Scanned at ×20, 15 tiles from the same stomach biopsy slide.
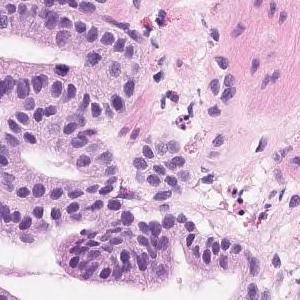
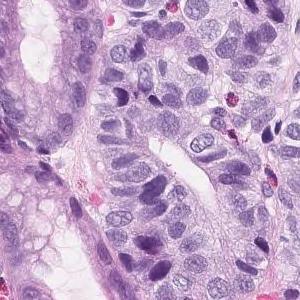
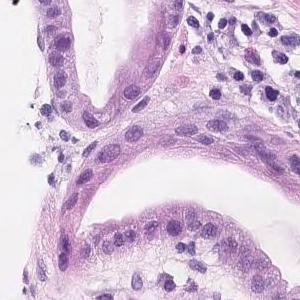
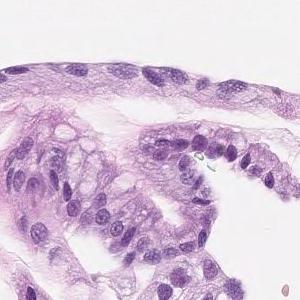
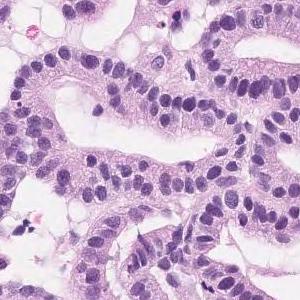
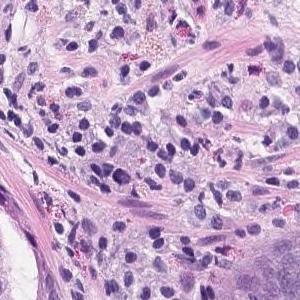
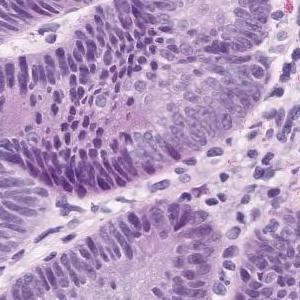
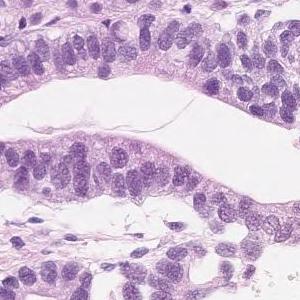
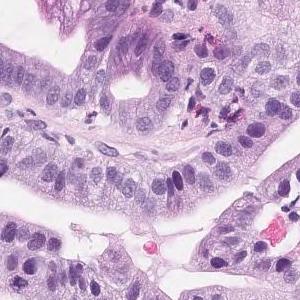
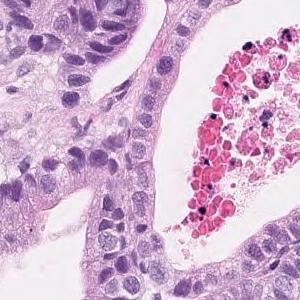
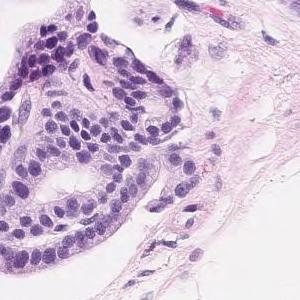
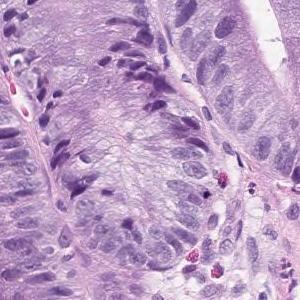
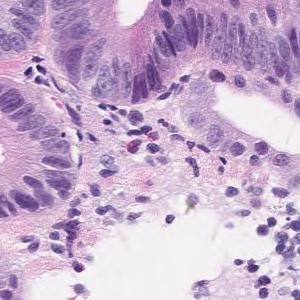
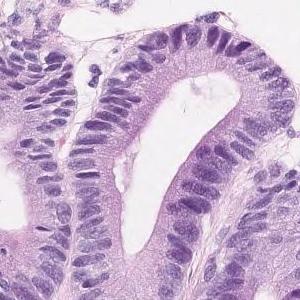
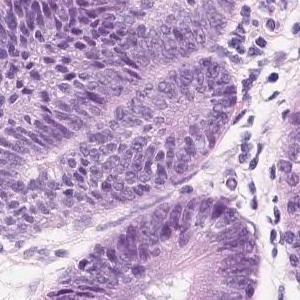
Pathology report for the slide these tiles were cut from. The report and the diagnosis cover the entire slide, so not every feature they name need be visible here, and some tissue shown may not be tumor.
Short atypical epithelium with swelling of the nucleus shows proliferating, large and small irregular ductal structures. Well to moderately differentiated tubular adenocarcinoma (well differentiated tubular adenocarcinoma-moderately differentiated tubular adenocarcinoma)
Tumor subtype: well to moderately differentiated tubular adenocarcinoma.
